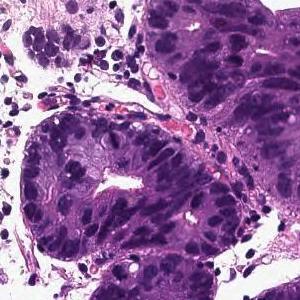
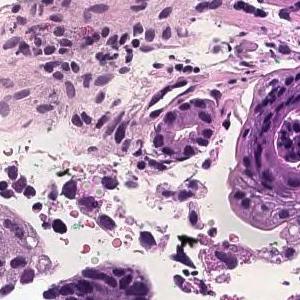
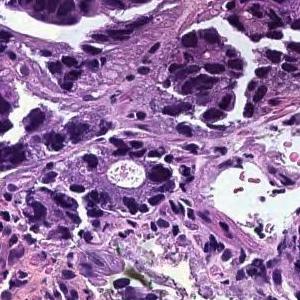
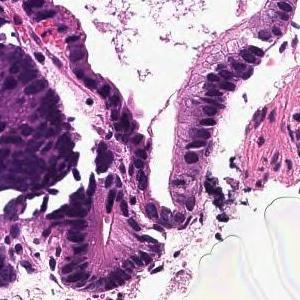
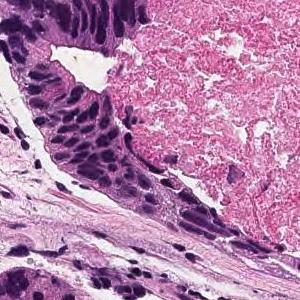
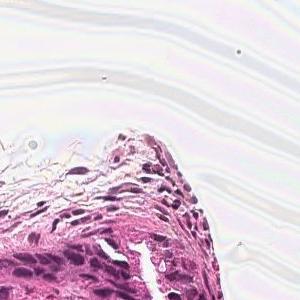
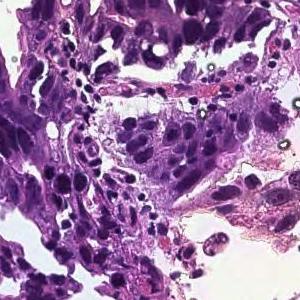
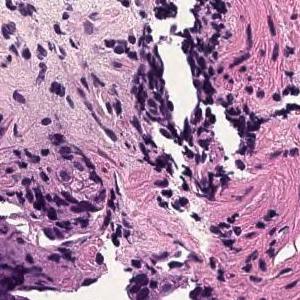
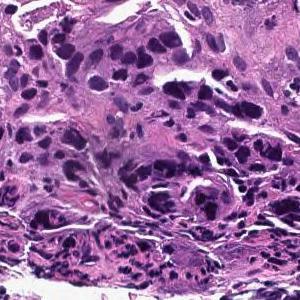
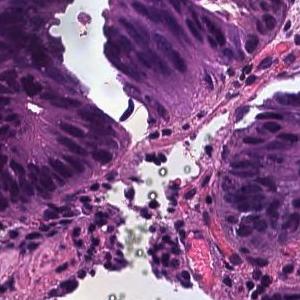
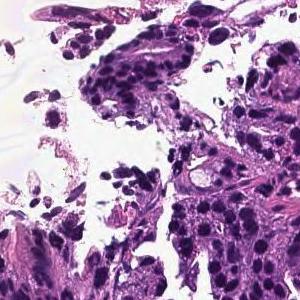
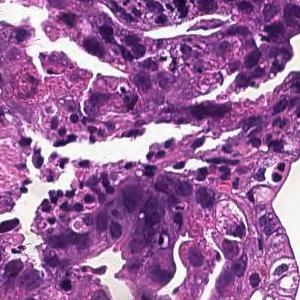
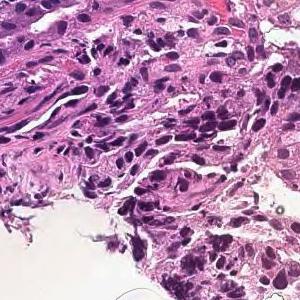
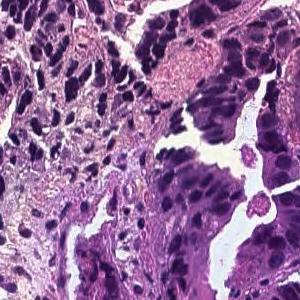
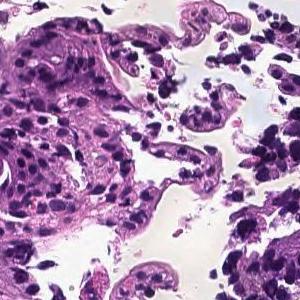
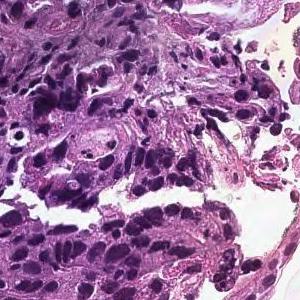
20× magnification · H&E stain · 16 patches cut from one gastric biopsy slide.
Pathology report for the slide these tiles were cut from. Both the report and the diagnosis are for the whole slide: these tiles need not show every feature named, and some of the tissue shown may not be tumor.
In the superficial epithelium, tumor tissue that invades by forming medium-sized to small, irregular ducts is observed. moderately differentiated tubular adenocarcinoma.
